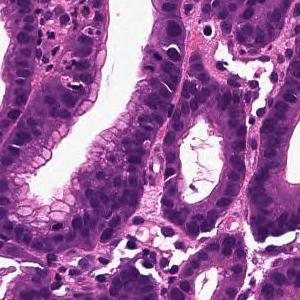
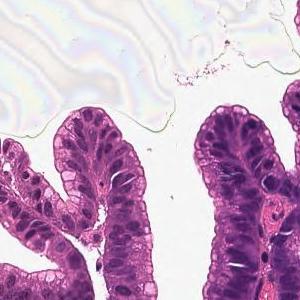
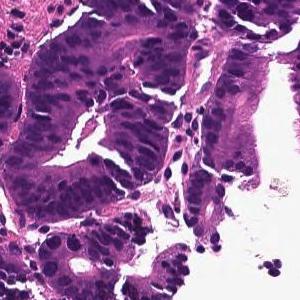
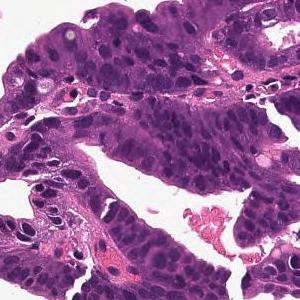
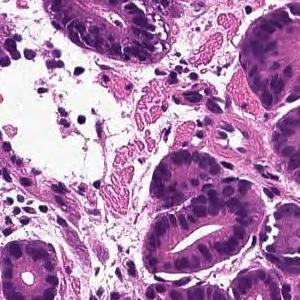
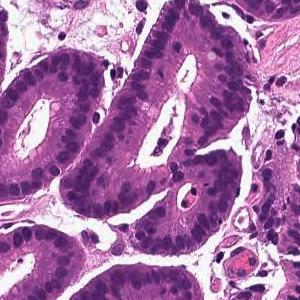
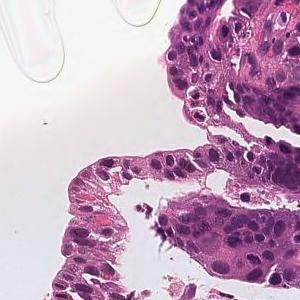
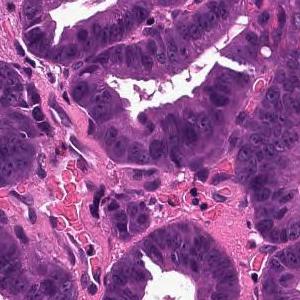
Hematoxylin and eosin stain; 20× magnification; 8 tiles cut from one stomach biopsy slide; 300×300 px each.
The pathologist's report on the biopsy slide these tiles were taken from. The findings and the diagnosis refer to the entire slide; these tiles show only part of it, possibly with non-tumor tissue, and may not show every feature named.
From the superficial epithelium to the muscularis mucosae, tumor tissue consisting of medium-sized and irregular glandular ducts infiltrating is observed. Well differentiated tubular adenocarcinoma
